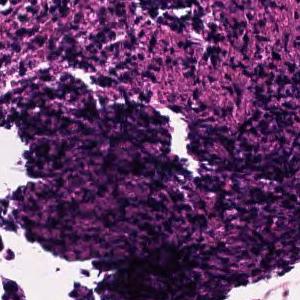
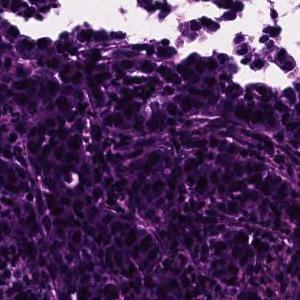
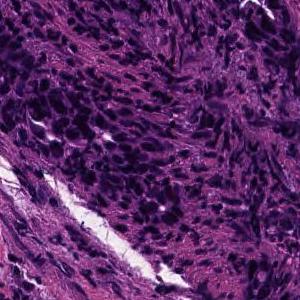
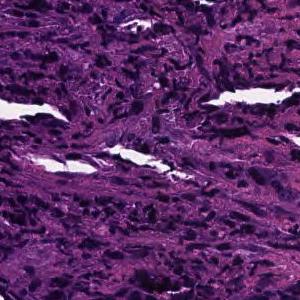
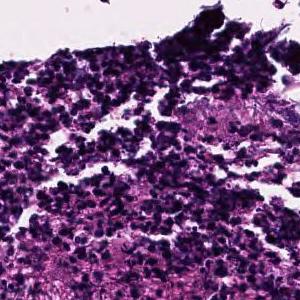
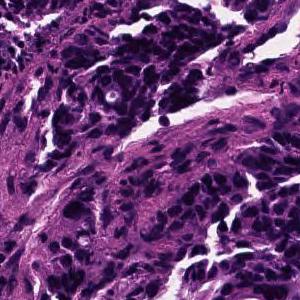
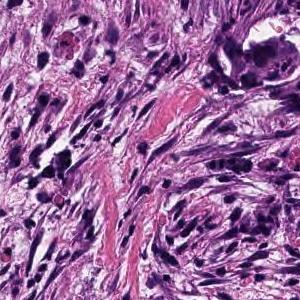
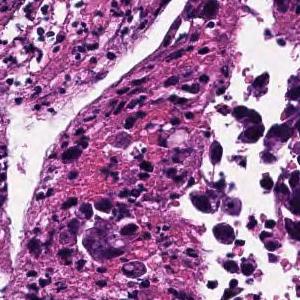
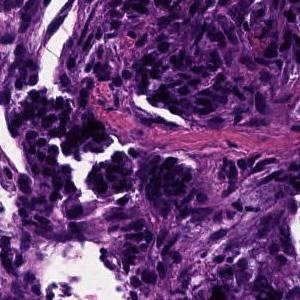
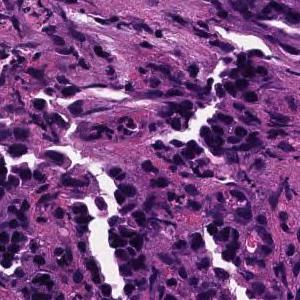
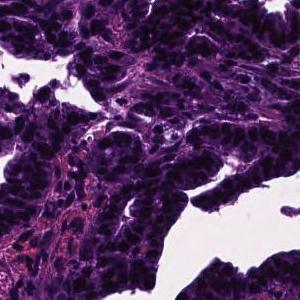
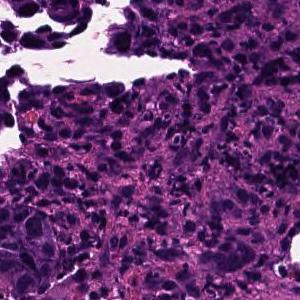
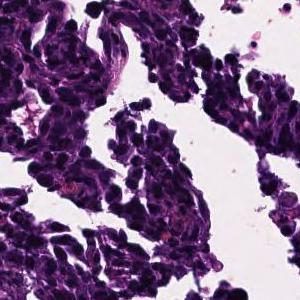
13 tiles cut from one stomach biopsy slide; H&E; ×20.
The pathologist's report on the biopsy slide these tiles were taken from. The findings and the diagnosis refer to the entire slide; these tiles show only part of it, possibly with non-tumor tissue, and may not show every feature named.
In the superficial epithelium, tumor tissue that invades by forming medium-sized to small, irregular ducts is observed. moderately differentiated tubular adenocarcinoma.
